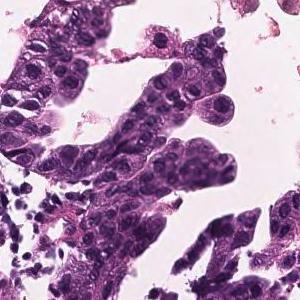
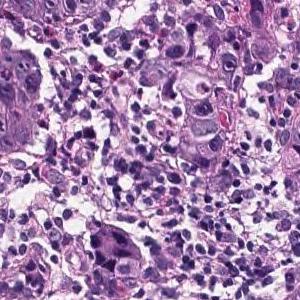
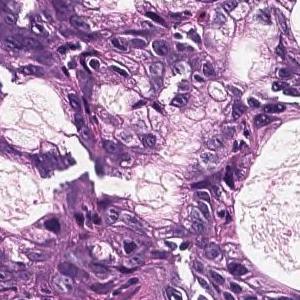
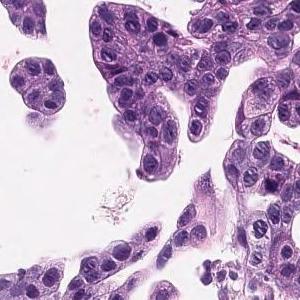
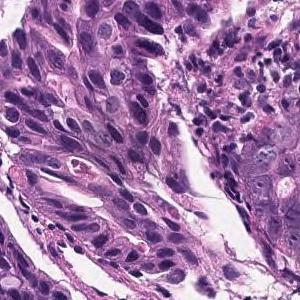
20× magnification, hematoxylin and eosin stain, 5 tiles cut from one stomach biopsy slide, 300×300 px each.
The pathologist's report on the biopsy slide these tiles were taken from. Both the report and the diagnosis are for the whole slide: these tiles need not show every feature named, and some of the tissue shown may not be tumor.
Tumor cells are large, highly columnar, large club-shaped nuclei, and are associated with chromatin aggregation. Papillary adenocarcinoma.
